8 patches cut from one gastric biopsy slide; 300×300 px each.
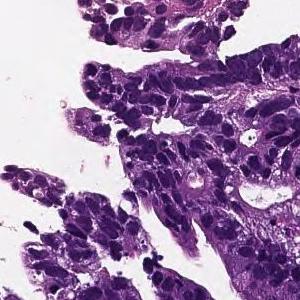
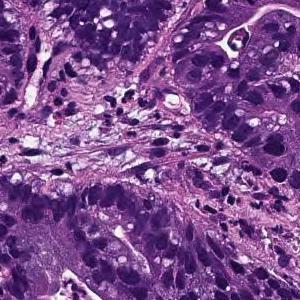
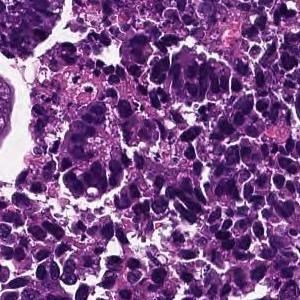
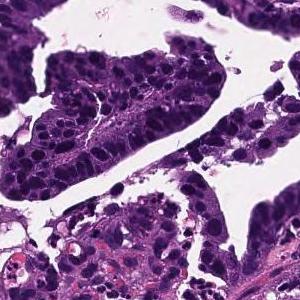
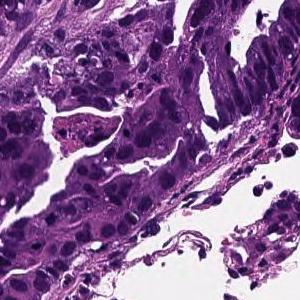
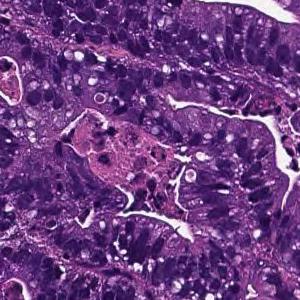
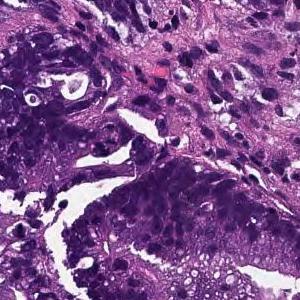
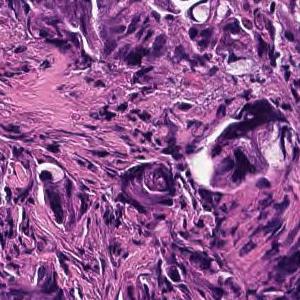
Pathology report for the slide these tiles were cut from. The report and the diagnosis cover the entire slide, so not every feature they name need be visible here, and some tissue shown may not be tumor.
Tumor cells are large, highly columnar, large club-shaped nuclei, and are associated with chromatin aggregation. Papillary adenocarcinoma.
